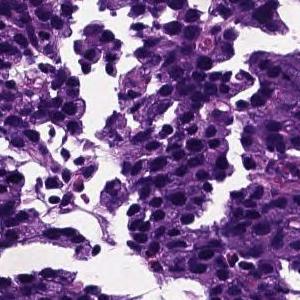
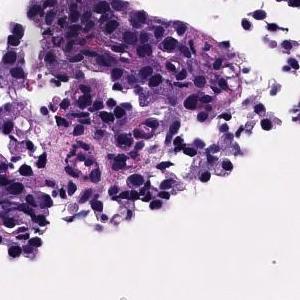
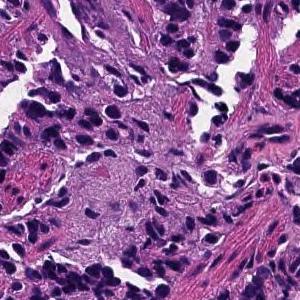
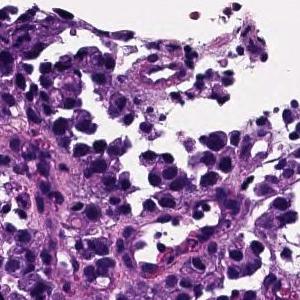
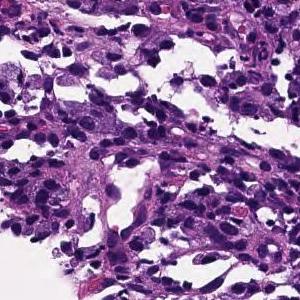
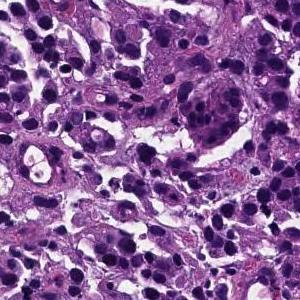
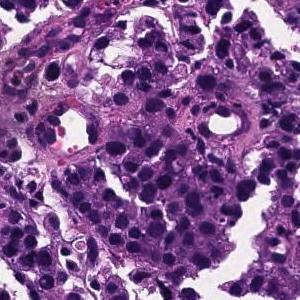
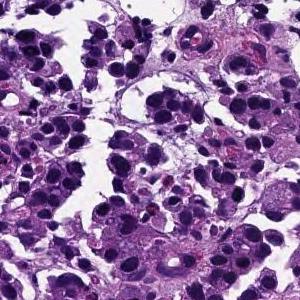
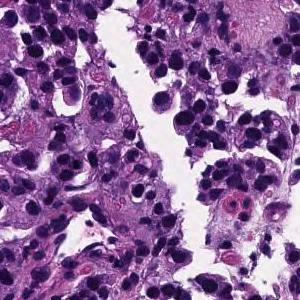
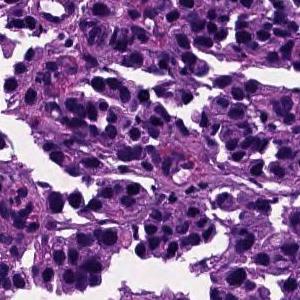
10 tiles cut from one stomach biopsy slide.
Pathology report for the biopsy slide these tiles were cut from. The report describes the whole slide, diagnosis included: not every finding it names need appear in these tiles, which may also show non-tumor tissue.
The superficial epithelium shows a large alveolar shape and infiltrates tumor tissue. Poorly differentiated adenocarcinoma, solid-type
Histologic type: Poorly differentiated adenocarcinoma, solid type (Japanese Classification of Gastric Carcinoma). The WHO 2019 equivalent is tubular adenocarcinoma, poorly differentiated.
